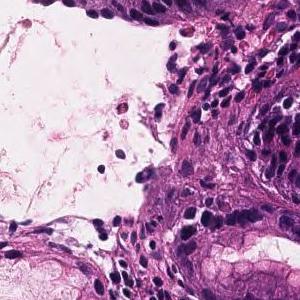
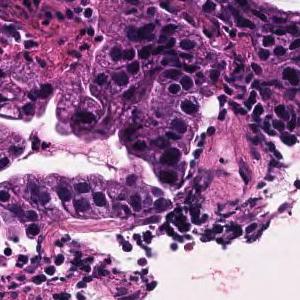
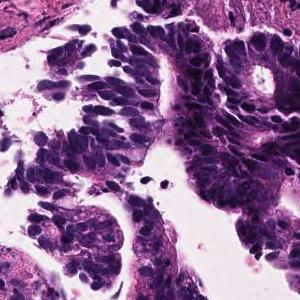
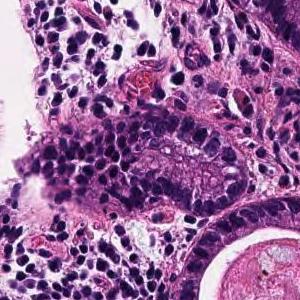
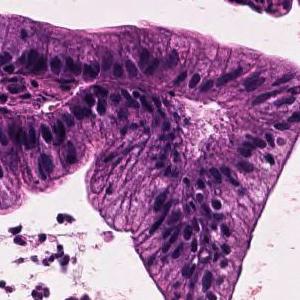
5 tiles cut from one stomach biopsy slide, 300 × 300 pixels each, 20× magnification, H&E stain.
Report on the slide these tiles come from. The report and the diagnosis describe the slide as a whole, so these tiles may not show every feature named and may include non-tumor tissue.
Tumor cells are large, highly columnar, large club-shaped nuclei, and are associated with chromatin aggregation. Papillary adenocarcinoma.
